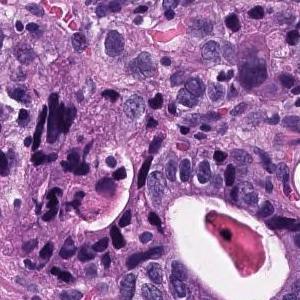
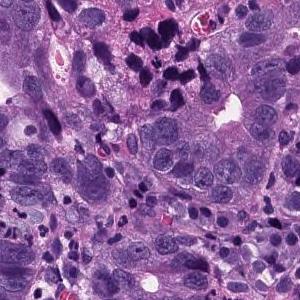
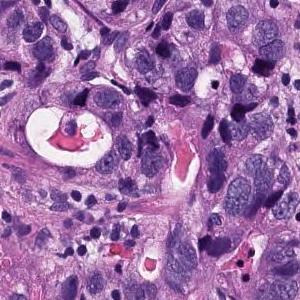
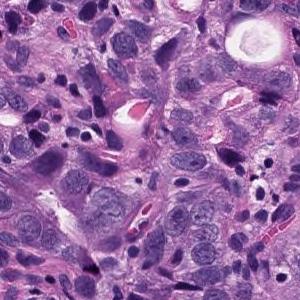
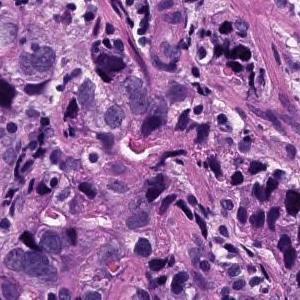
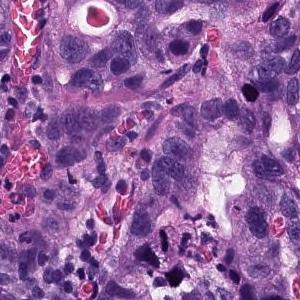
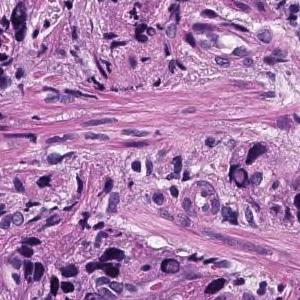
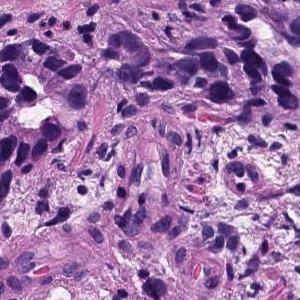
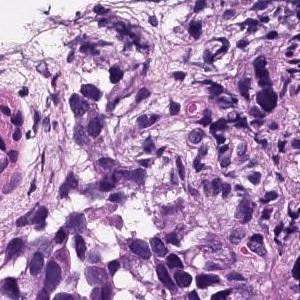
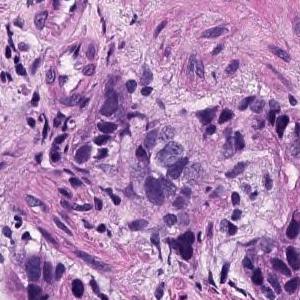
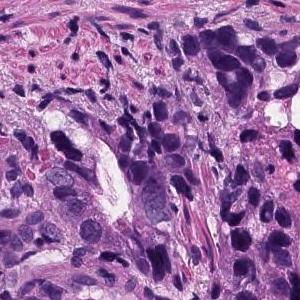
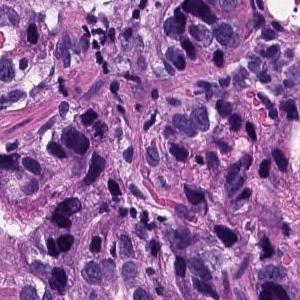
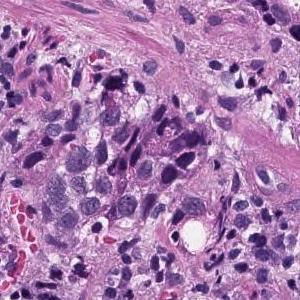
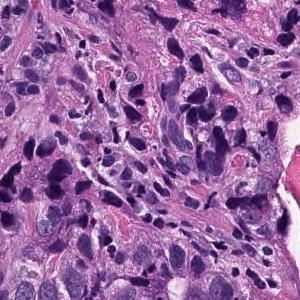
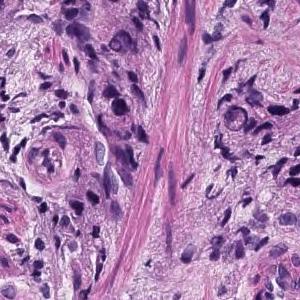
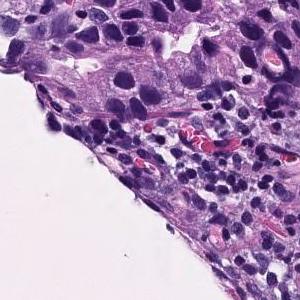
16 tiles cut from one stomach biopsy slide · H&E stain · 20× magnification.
The pathologist's report on the biopsy slide these tiles were taken from. What the report and the diagnosis say applies to the whole slide; these tiles may miss some of the features named and may include tissue that is not tumor.
In the epithelium, tumor tissue in which medium to small irregular gland ducts fuse with each other and infiltrate the submucosa. moderately differentiated tubular adenocarcinoma
